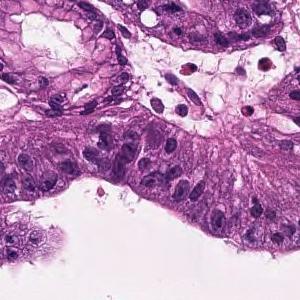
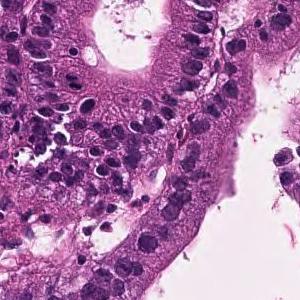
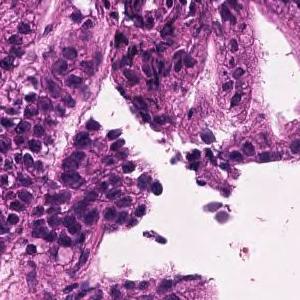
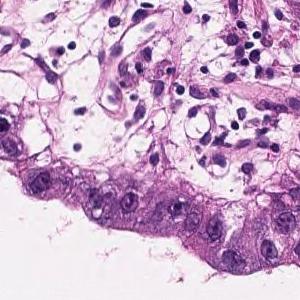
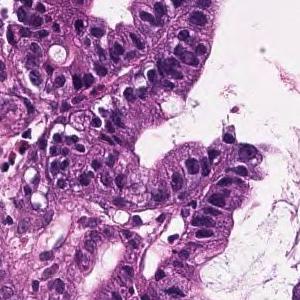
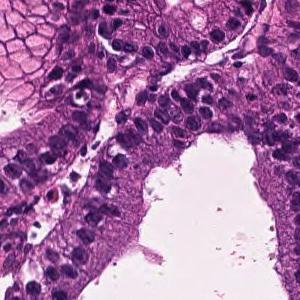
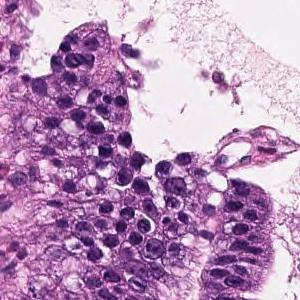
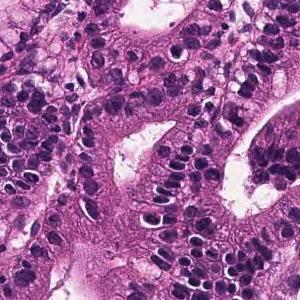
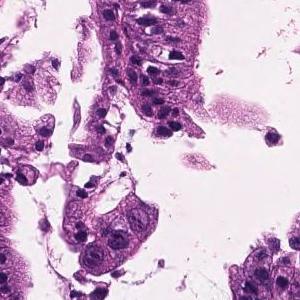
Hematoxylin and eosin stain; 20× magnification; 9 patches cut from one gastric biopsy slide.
Pathology report for the slide these tiles were cut from. The findings and the diagnosis refer to the entire slide; these tiles show only part of it, possibly with non-tumor tissue, and may not show every feature named.
On the superficial epithelium, tumor tissue that infiltrates by forming medium-sized papillary or small irregular ducts is observed. Papillary adenocarcinoma
